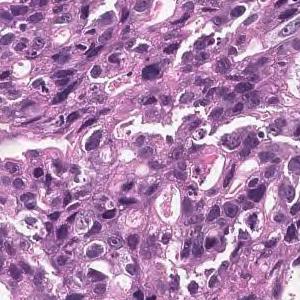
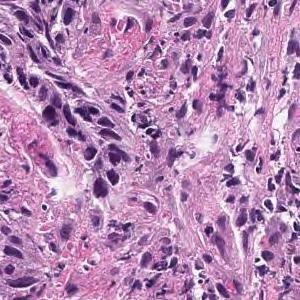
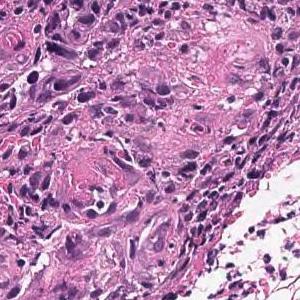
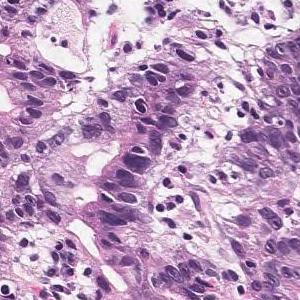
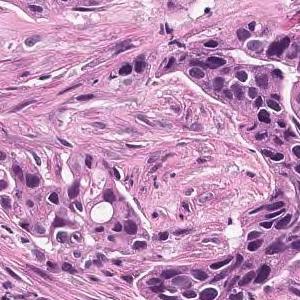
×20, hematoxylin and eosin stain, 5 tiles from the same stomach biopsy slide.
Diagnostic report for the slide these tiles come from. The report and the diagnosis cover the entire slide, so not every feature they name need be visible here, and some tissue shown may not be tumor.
Tumor cells are large, highly columnar, large club-shaped nuclei, and are associated with chromatin aggregation. Papillary adenocarcinoma.
